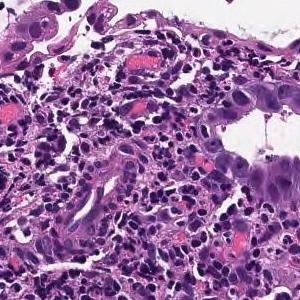
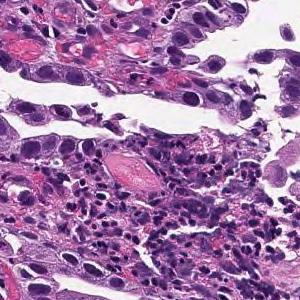
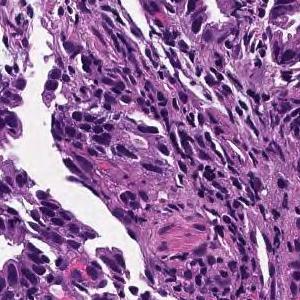
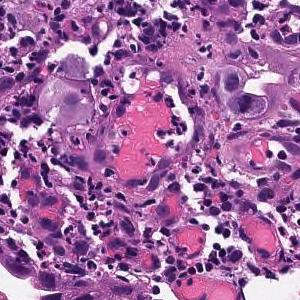
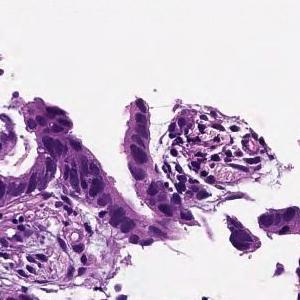
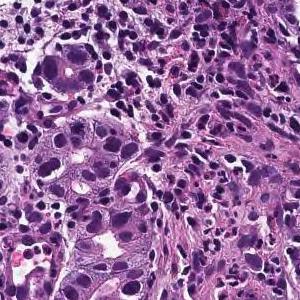
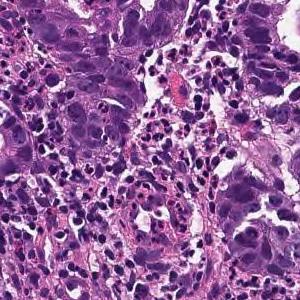
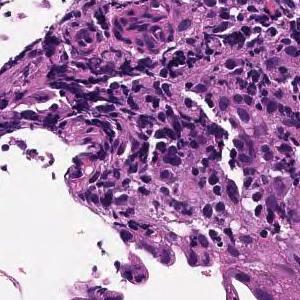
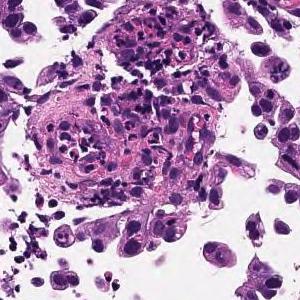
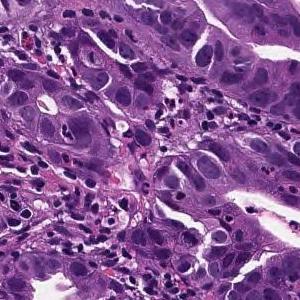
Hematoxylin and eosin stain, ×20, 10 patches cut from one gastric biopsy slide, each 300 × 300 pixels.
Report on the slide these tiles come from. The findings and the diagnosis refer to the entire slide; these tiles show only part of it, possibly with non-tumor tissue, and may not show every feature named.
In the superficial epithelium, tumor tissue that invades by forming medium-sized to small, irregular ducts is observed. moderately differentiated tubular adenocarcinoma.
